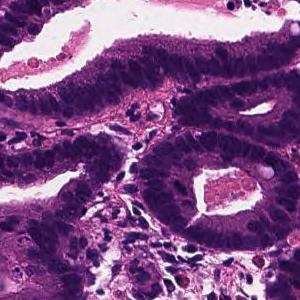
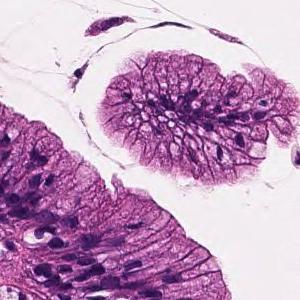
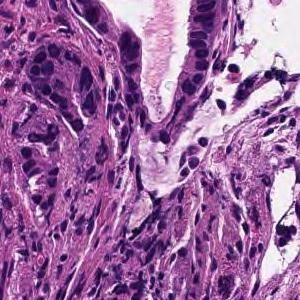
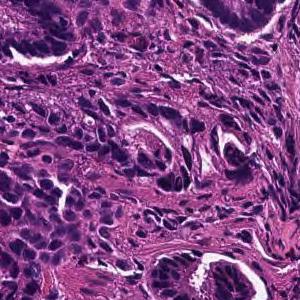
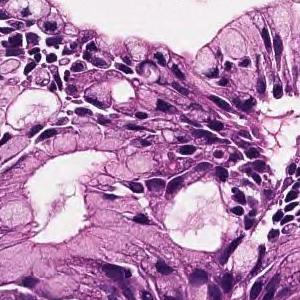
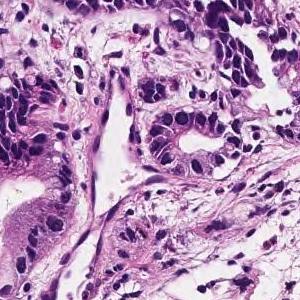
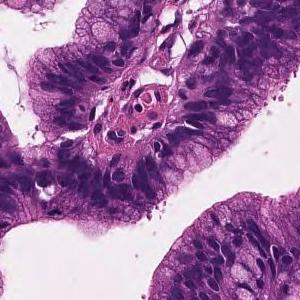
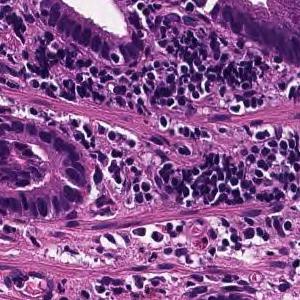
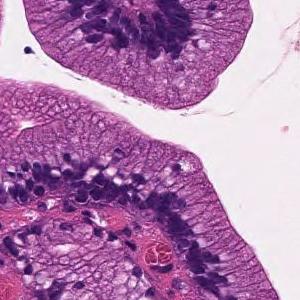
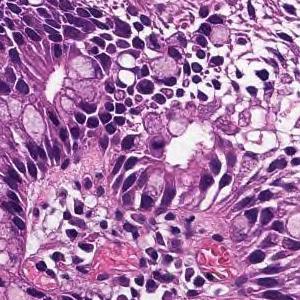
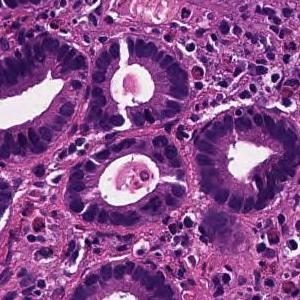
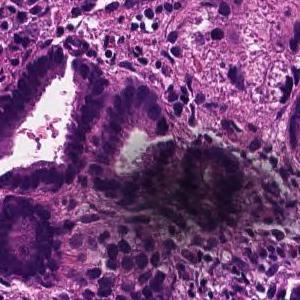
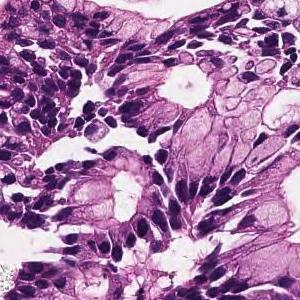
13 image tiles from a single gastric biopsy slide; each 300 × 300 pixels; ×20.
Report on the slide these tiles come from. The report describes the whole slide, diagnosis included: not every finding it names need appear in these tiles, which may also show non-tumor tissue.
On the superficial epithelium, tumor tissue consisting of medium-sized and irregular glandular ducts partially fused and infiltrated is observed. Well to moderately differentiated tubular adenocarcinoma (well differentiated tubular adenocarcinoma-moderately differentiated tubular adenocarcinoma)
Subtype: Well to moderately differentiated tubular adenocarcinoma.
